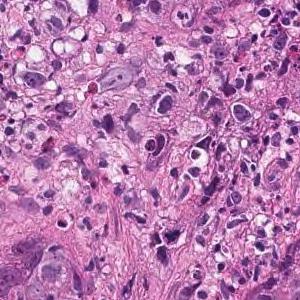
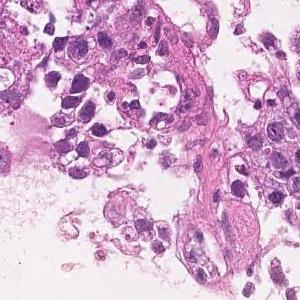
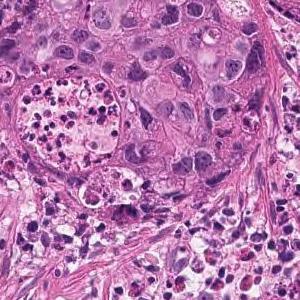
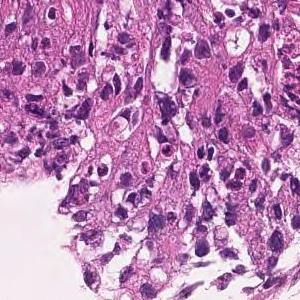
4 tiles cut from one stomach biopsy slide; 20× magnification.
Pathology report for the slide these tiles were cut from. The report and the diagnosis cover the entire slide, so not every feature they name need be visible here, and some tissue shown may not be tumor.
The superficial epithelium shows a large sheet-like shape, and some tumor tissue infiltrates with small irregular ducts. Poorly differentiated adenocarcinoma, solid-type
Histologic type: Poorly differentiated adenocarcinoma, solid type (Japanese Classification of Gastric Carcinoma). The WHO 2019 equivalent is tubular adenocarcinoma, poorly differentiated.
